6 patches cut from one gastric biopsy slide, each 300 × 300 pixels, scanned at ×20, H&E.
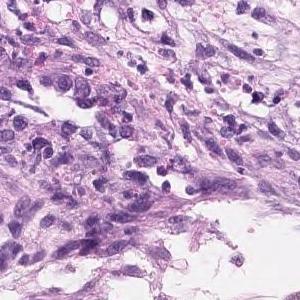
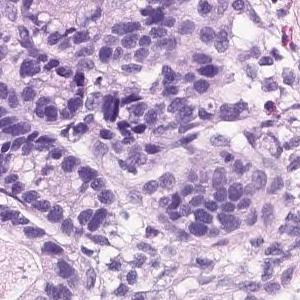
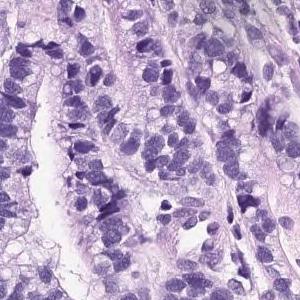
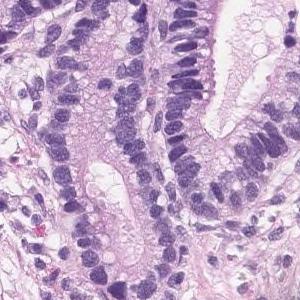
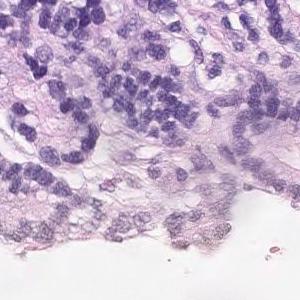
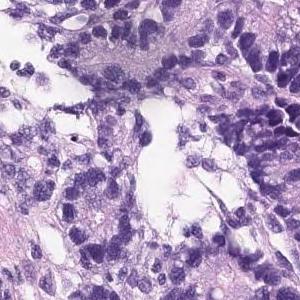
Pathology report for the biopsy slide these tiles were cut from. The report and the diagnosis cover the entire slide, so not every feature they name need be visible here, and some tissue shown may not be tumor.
Hyperplasia of atypical epithelial cells with swelling of the nucleus is observed. Moderately diffentiated tubular adenocarcinoma
Tumor subtype: moderately differentiated tubular adenocarcinoma.
